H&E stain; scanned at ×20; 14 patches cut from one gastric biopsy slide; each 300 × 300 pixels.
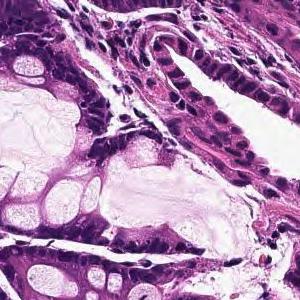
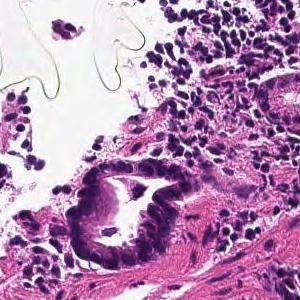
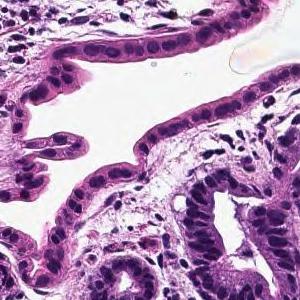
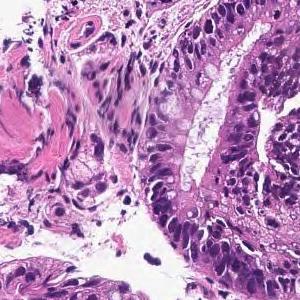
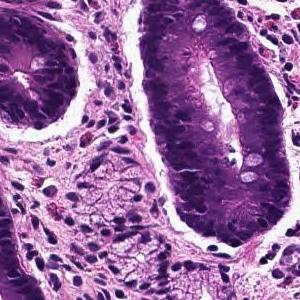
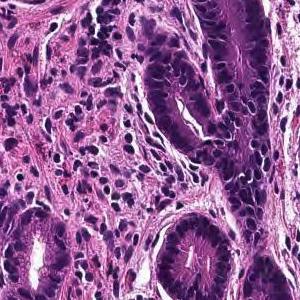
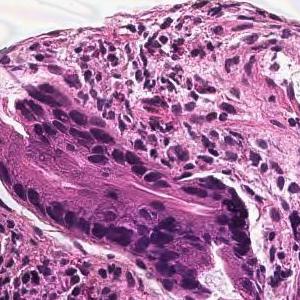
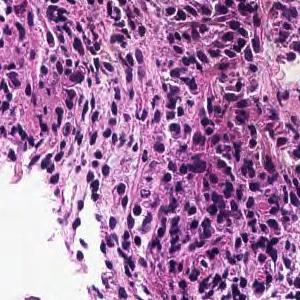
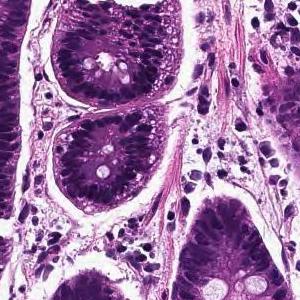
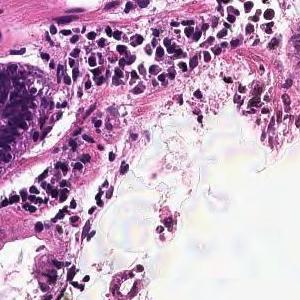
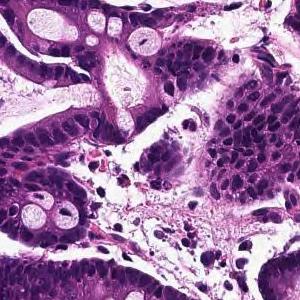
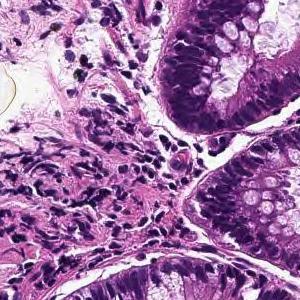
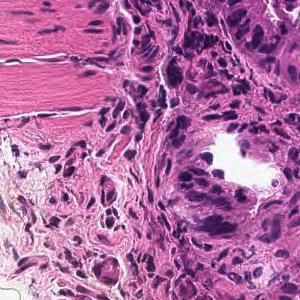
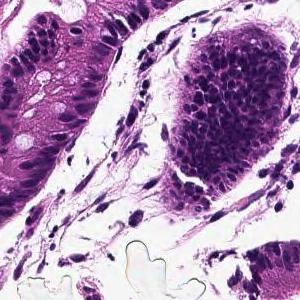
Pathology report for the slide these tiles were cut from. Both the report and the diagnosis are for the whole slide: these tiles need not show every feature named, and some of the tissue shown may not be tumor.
From the superficial epithelium to the muscularis mucosae, tumor tissue consisting of medium-sized and irregular glandular ducts infiltrating is observed. Well differentiated tubular adenocarcinoma
